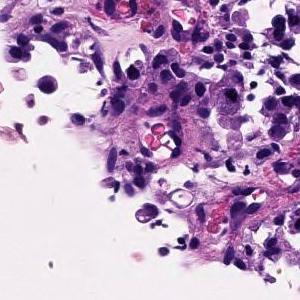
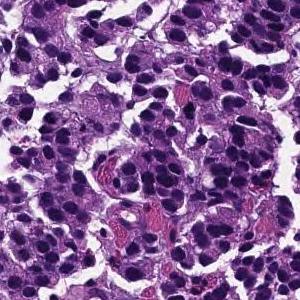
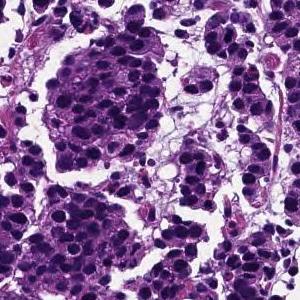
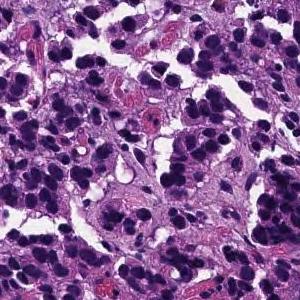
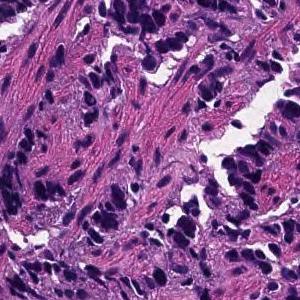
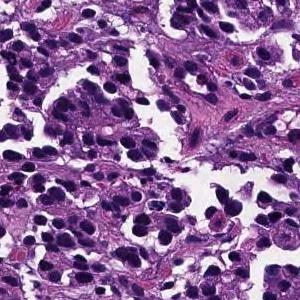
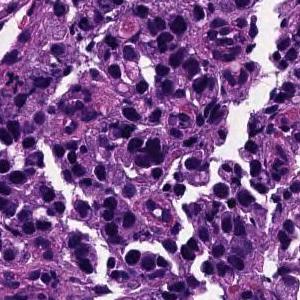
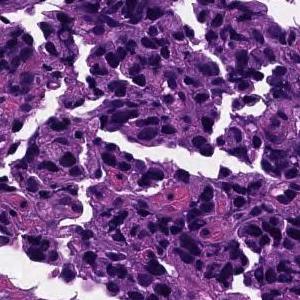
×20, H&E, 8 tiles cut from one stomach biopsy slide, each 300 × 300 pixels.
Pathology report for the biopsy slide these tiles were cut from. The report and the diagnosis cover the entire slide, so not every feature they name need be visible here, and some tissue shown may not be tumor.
The superficial epithelium shows a large alveolar shape and infiltrates tumor tissue. Poorly differentiated adenocarcinoma, solid-type
Tumor subtype: poorly differentiated adenocarcinoma, solid type (Japanese Classification of Gastric Carcinoma). The WHO 2019 equivalent is tubular adenocarcinoma, poorly differentiated.
